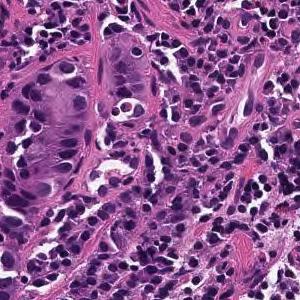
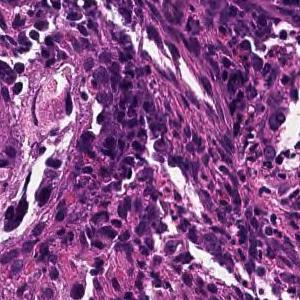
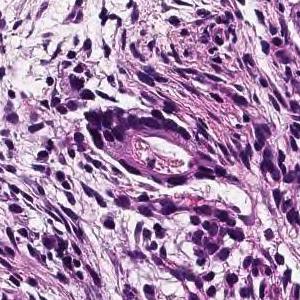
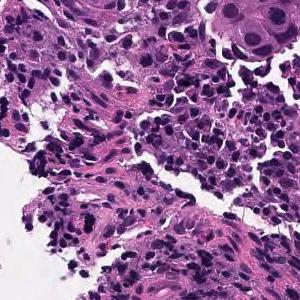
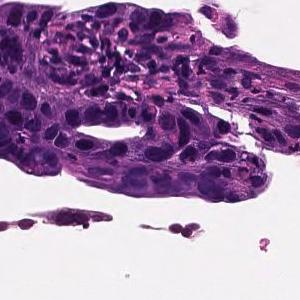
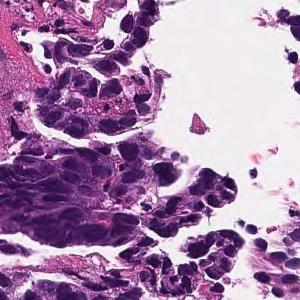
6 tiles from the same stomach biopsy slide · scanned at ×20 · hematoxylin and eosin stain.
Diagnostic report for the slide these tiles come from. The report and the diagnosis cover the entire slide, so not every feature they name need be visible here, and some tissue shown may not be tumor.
On the superficial epithelium, tumor tissue consisting of large irregular glandular ducts partially fused and infiltrated is observed. Well to moderately differentiated tubular adenocarcinoma (well differentiated tubular adenocarcinoma, moderately differentiated tubular adenocarcinoma)
Classified as well to moderately differentiated tubular adenocarcinoma.
